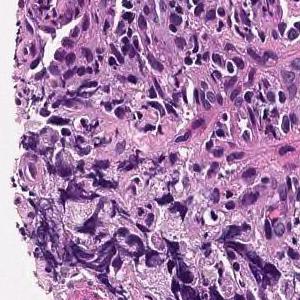
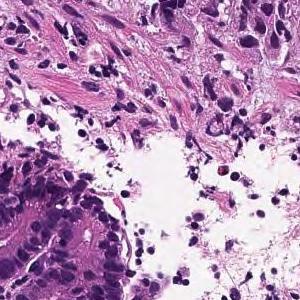
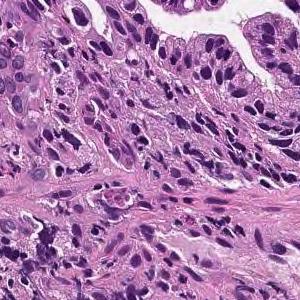
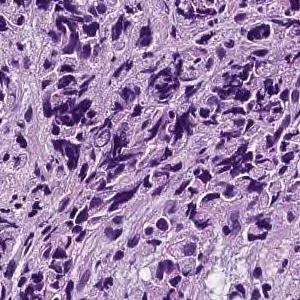
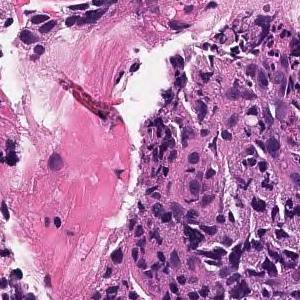
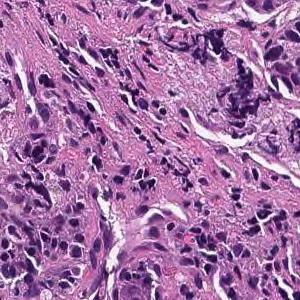
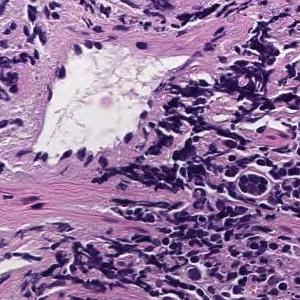
H&E stain; 7 patches cut from one gastric biopsy slide; 300×300 px each.
The pathologist's report on the biopsy slide these tiles were taken from. The report and the diagnosis cover the entire slide, so not every feature they name need be visible here, and some tissue shown may not be tumor.
The lamina propria shows small cord-like tumor tissue that infiltrates with fibrosis and marked chronic inflammatory cell infiltration. Poorly differentiated adenocarcinoma, non-solid type
"Non-solid type" is a category of the Japanese Classification of Gastric Carcinoma.
